11 tiles from the same stomach biopsy slide · H&E.
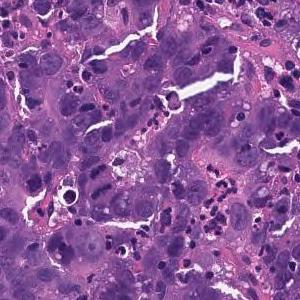
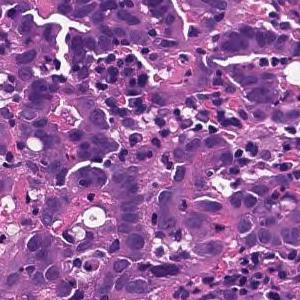
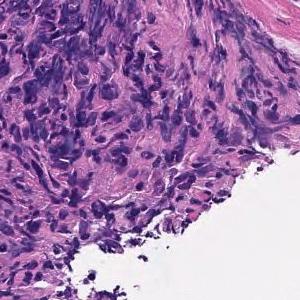
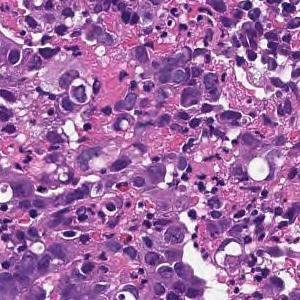
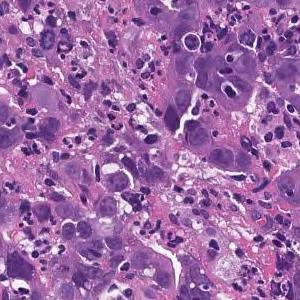
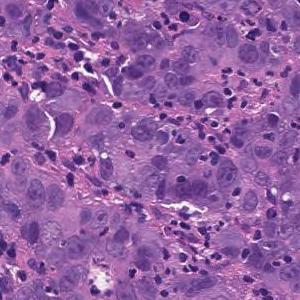
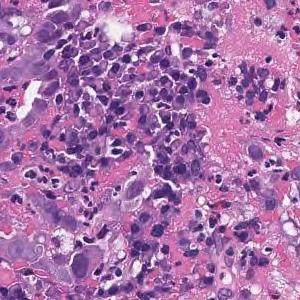
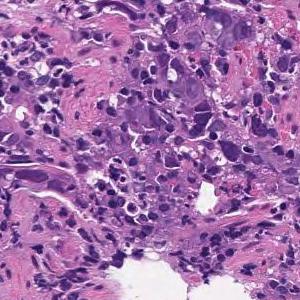
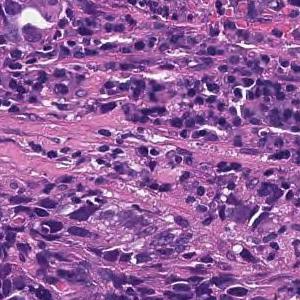
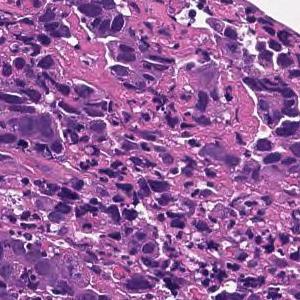
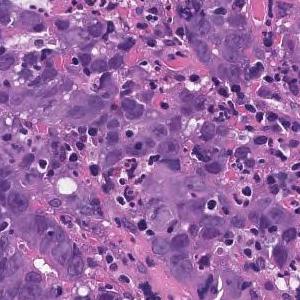
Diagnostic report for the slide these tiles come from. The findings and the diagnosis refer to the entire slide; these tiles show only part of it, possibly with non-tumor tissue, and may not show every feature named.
Tumor tissue consisting of cord-like or small, irregular glandular ducts fused and infiltrated is observed in the superficial epithelium. Poorly differentiated adenocarcinoma, non-solid type
"Non-solid type" is a category of the Japanese Classification of Gastric Carcinoma.
